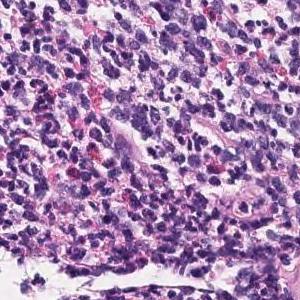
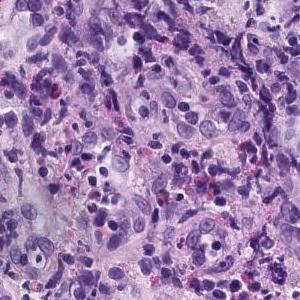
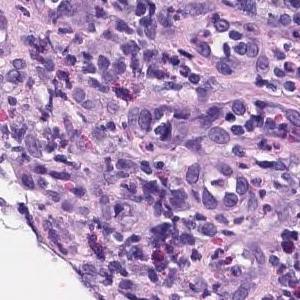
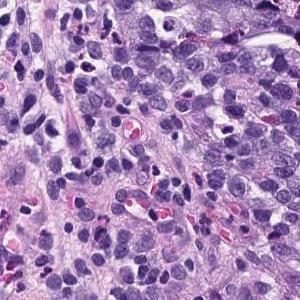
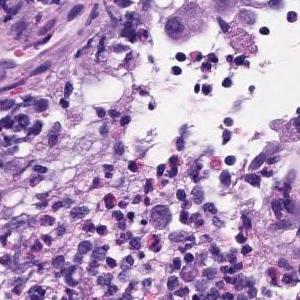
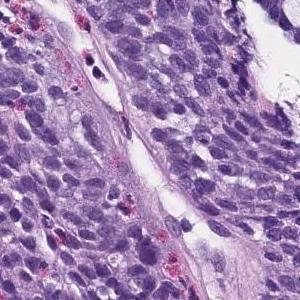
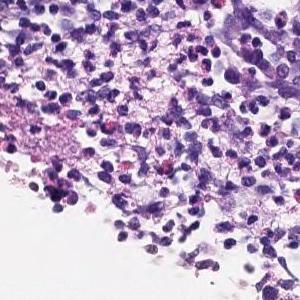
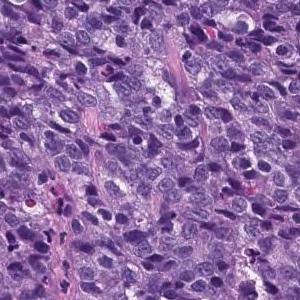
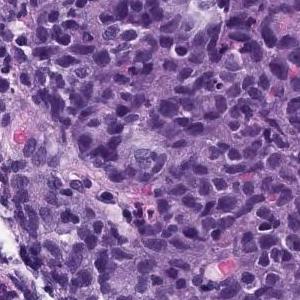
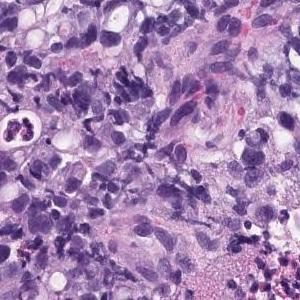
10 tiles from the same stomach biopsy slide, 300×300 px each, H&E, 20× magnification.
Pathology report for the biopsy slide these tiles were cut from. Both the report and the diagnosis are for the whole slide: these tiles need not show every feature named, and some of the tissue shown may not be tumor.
The superficial epithelium shows a large sheet-like shape, and some tumor tissue infiltrates with small irregular ducts. Poorly differentiated adenocarcinoma, solid-type
Classified as poorly differentiated adenocarcinoma, solid type, a category of the Japanese Classification of Gastric Carcinoma; in the WHO 2019 classification it is tubular adenocarcinoma, poorly differentiated.
